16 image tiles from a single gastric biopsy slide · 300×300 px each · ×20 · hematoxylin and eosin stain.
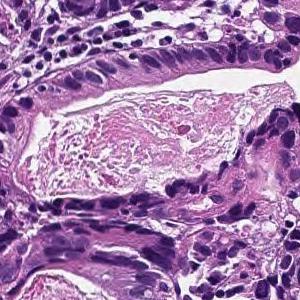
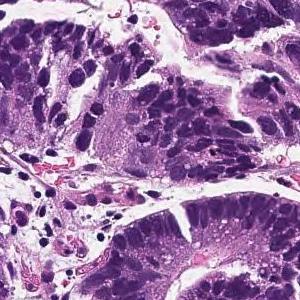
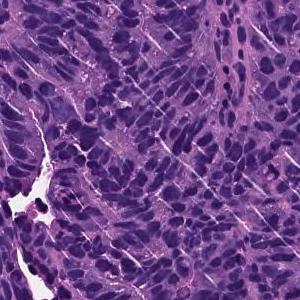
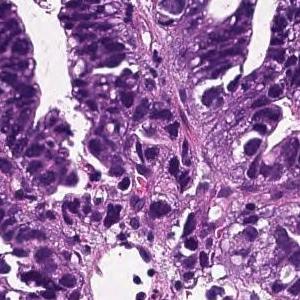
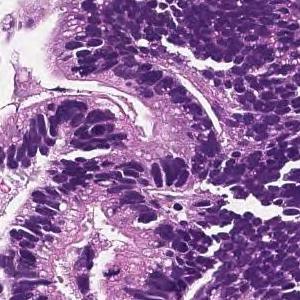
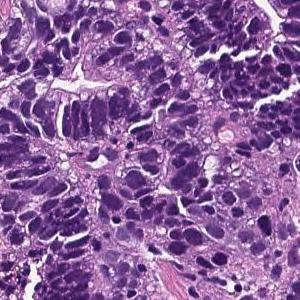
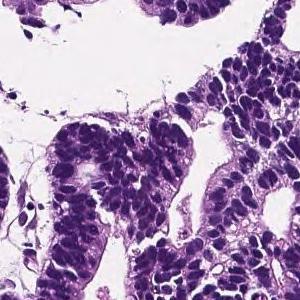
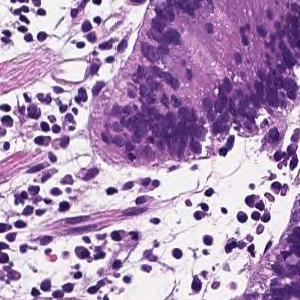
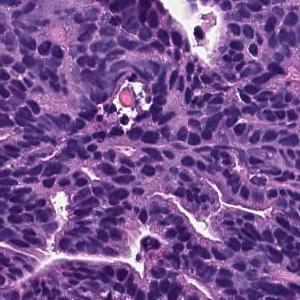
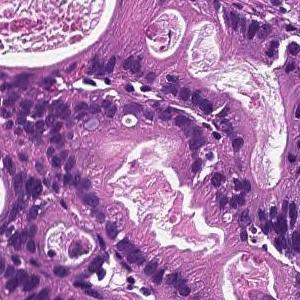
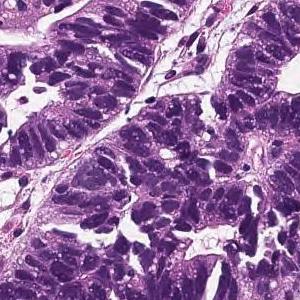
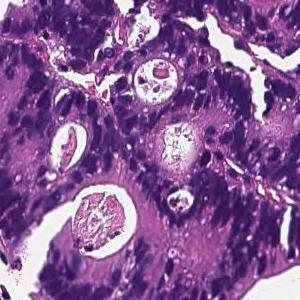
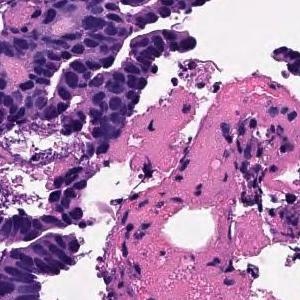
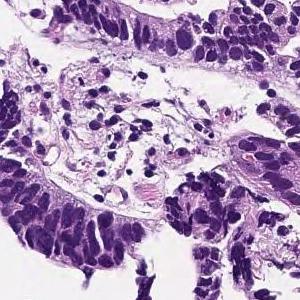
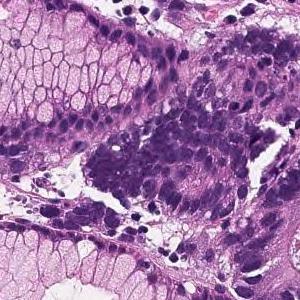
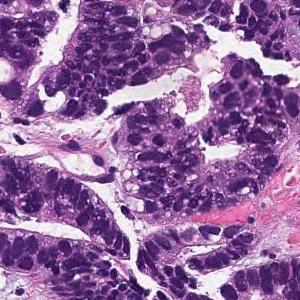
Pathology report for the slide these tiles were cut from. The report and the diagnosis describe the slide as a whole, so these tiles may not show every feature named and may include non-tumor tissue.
In the superficial epithelium, tumor tissue that invades by forming medium-sized to small, irregular ducts is observed. moderately differentiated tubular adenocarcinoma.
